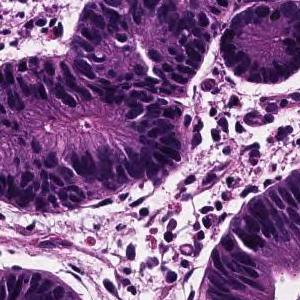
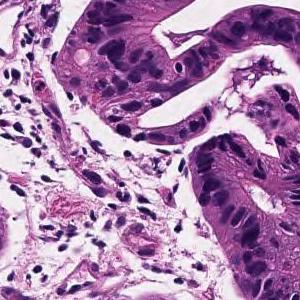
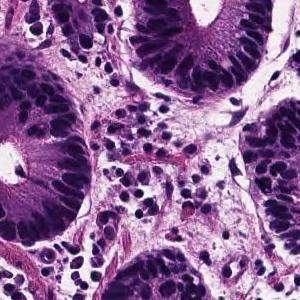
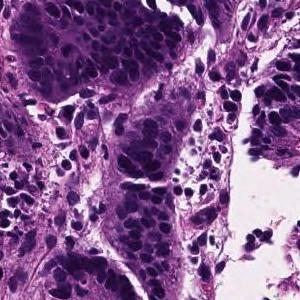
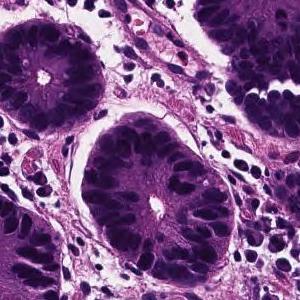
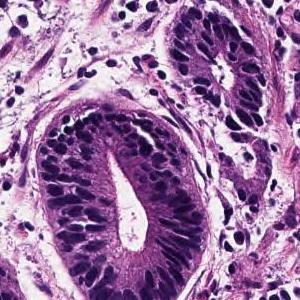
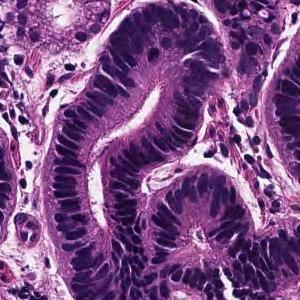
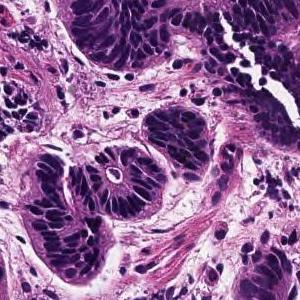
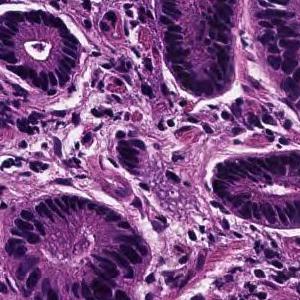
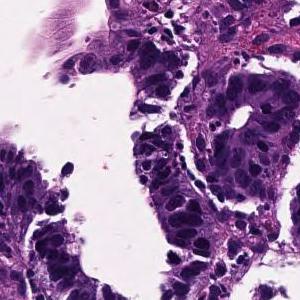
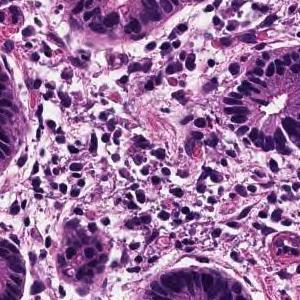
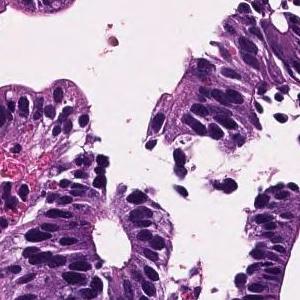
H&E stain, ×20, 12 tiles from the same stomach biopsy slide, 300×300 px each.
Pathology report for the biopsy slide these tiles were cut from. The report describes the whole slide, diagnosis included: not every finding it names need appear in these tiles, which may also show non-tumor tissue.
From the superficial epithelium to the muscularis mucosae, tumor tissue consisting of medium-sized and irregular glandular ducts infiltrating is observed. Well differentiated tubular adenocarcinoma
